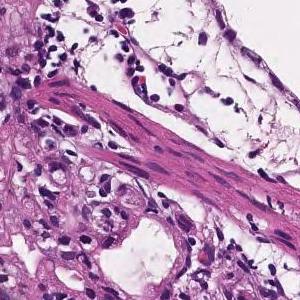
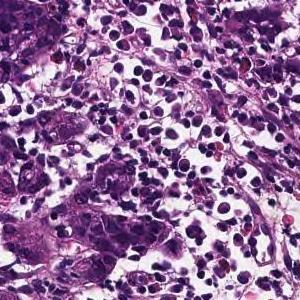
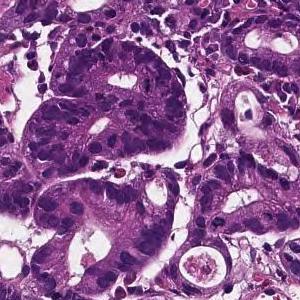
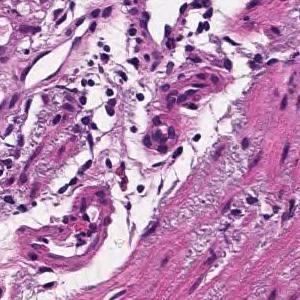
Scanned at ×20 · H&E · 4 tiles from the same stomach biopsy slide · each 300 × 300 pixels.
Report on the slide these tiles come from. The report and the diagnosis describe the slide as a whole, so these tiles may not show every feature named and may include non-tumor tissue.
Tumor tissue consisting of medium-sized, cord-like or irregular glandular infiltration is observed in the superficial epithelium. Poorly differentiated adenocarcinoma, non-solid type or moderately differentiated tubular adenocarcinoma
Histologic type: Moderately to poorly differentiated adenocarcinoma.
The non-solid type named here is a Japanese Classification of Gastric Carcinoma category.
